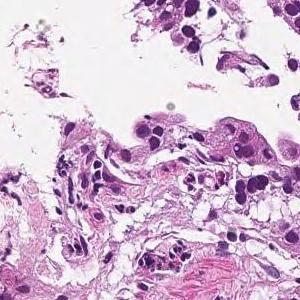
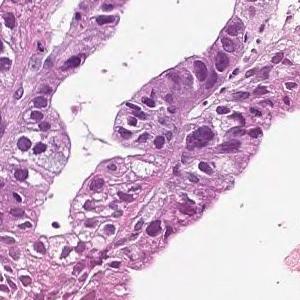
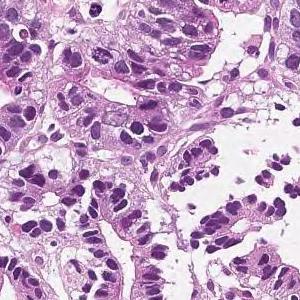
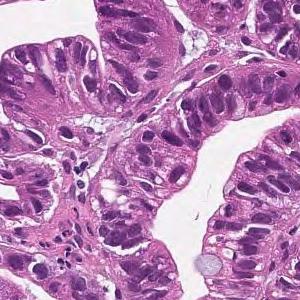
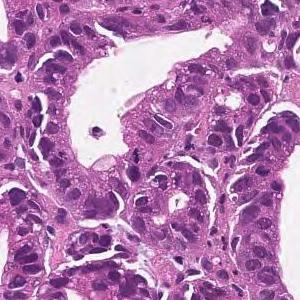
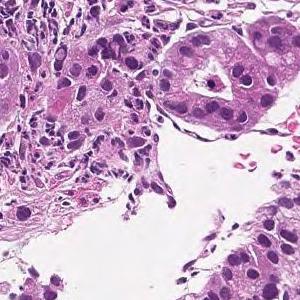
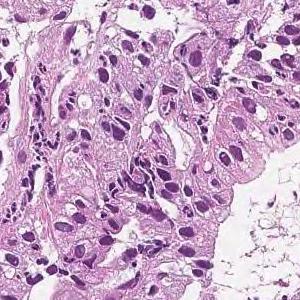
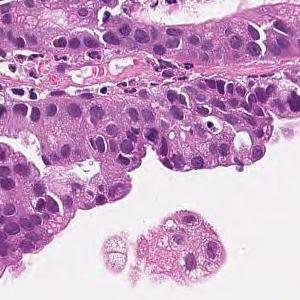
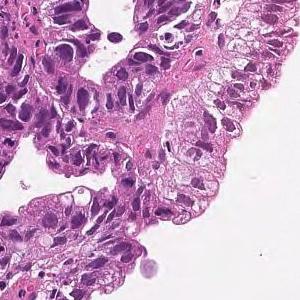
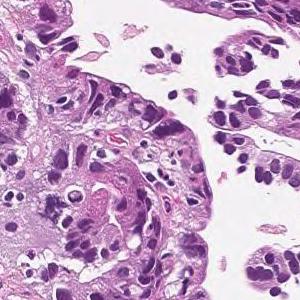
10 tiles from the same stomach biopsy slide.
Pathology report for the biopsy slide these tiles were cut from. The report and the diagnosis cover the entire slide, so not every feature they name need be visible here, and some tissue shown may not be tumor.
On the superficial epithelium, tumor tissue that infiltrates by forming medium-sized papillary or small irregular ducts is observed. Papillary adenocarcinoma
